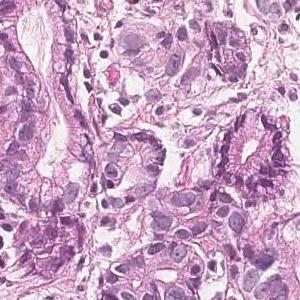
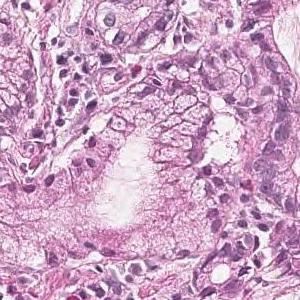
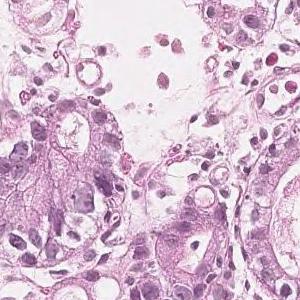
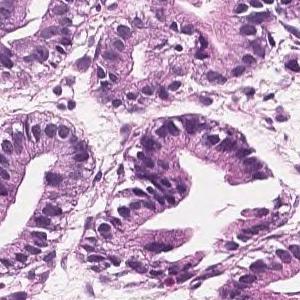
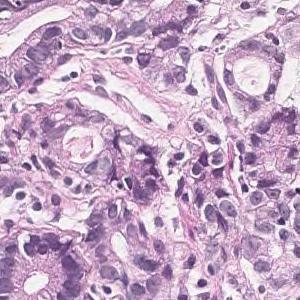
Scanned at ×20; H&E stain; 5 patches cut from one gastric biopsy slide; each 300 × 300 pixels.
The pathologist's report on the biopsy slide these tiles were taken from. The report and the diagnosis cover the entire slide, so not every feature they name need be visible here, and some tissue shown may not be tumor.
In the superficial epithelium, tumor tissue that invades by forming medium-sized to small, irregular ducts is observed. moderately differentiated tubular adenocarcinoma.
